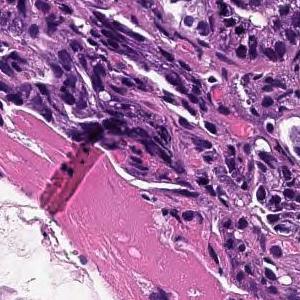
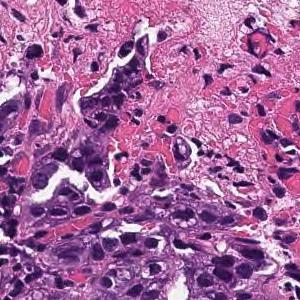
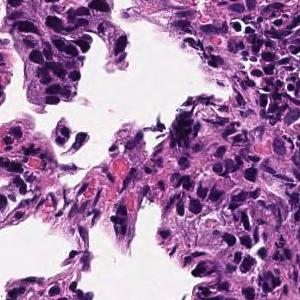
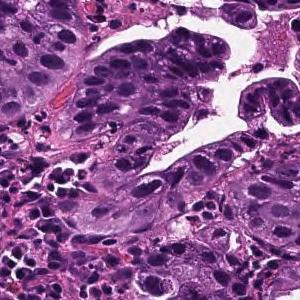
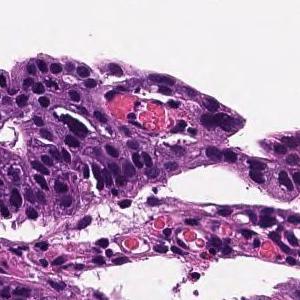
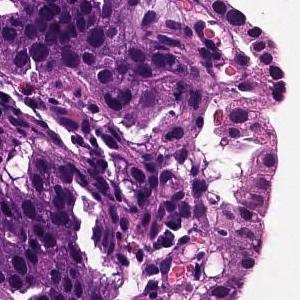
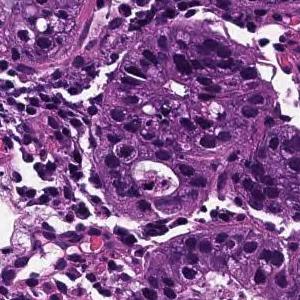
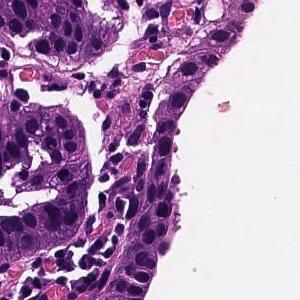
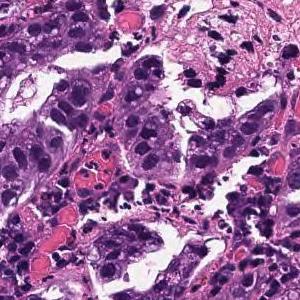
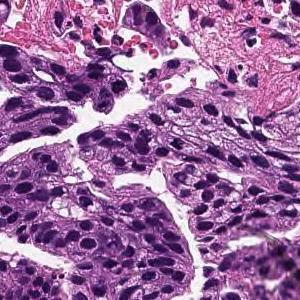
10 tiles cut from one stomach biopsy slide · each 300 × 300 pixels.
Report on the slide these tiles come from. The findings and the diagnosis refer to the entire slide; these tiles show only part of it, possibly with non-tumor tissue, and may not show every feature named.
In the superficial epithelium, tumor tissue that invades by forming medium-sized to small, irregular ducts is observed. moderately differentiated tubular adenocarcinoma.
